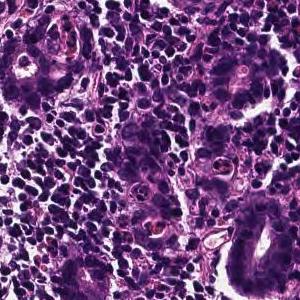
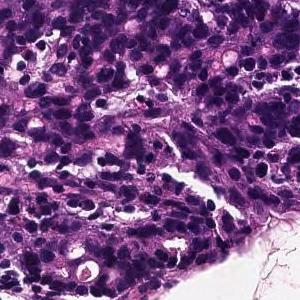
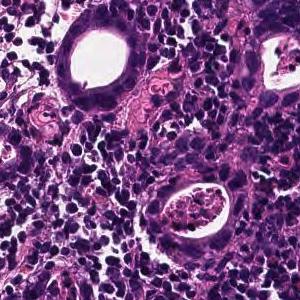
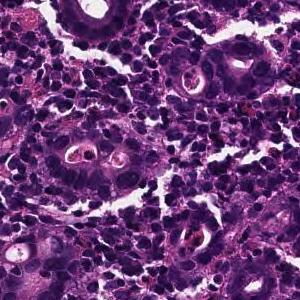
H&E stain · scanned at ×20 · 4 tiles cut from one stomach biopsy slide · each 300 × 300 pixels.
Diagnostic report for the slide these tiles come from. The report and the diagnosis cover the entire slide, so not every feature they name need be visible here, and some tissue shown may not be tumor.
On the superficial epithelium, tumor tissue is found in which medium-sized irregular gland ducts fuse with each other and infiltrate. moderately differentiated tubular adenocarcinoma or Poorly differentiated adenocarcinoma, non-solid type
Subtype: Moderately to poorly differentiated adenocarcinoma.
"Non-solid type" is a category of the Japanese Classification of Gastric Carcinoma.
